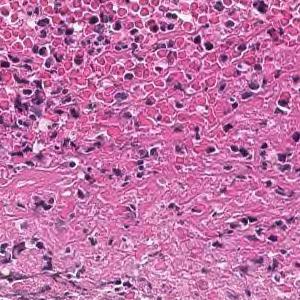
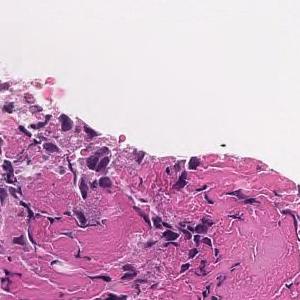
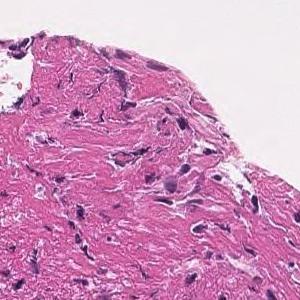
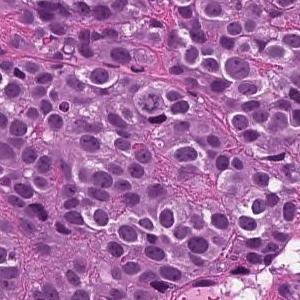
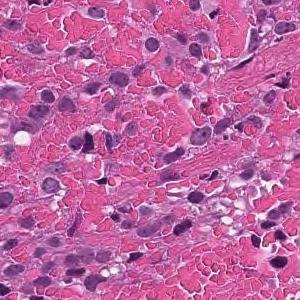
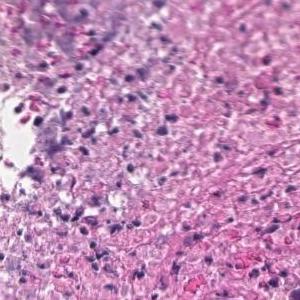
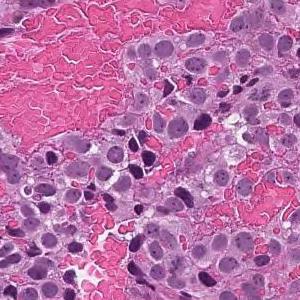
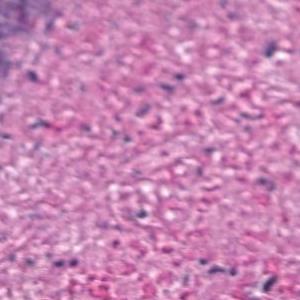
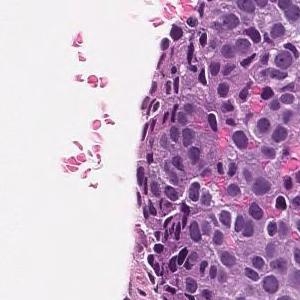
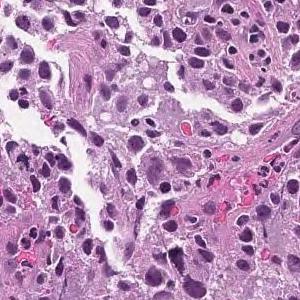
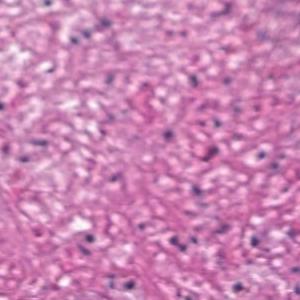
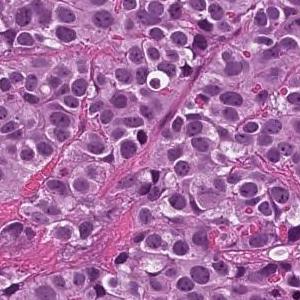
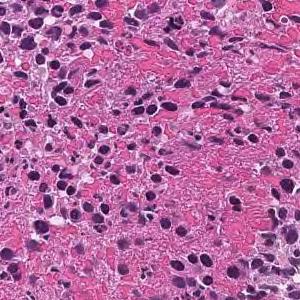
×20, hematoxylin and eosin stain, 13 tiles cut from one stomach biopsy slide, each 300 × 300 pixels.
Diagnostic report for the slide these tiles come from. The findings and the diagnosis refer to the entire slide; these tiles show only part of it, possibly with non-tumor tissue, and may not show every feature named.
The superficial epithelium shows a large sheet-like shape, and some tumor tissue infiltrates with small irregular ducts. Poorly differentiated adenocarcinoma, solid-type
Histological subtype: Poorly differentiated adenocarcinoma, solid type. This name comes from the Japanese Classification of Gastric Carcinoma; the WHO 2019 classification calls it tubular adenocarcinoma, poorly differentiated.
